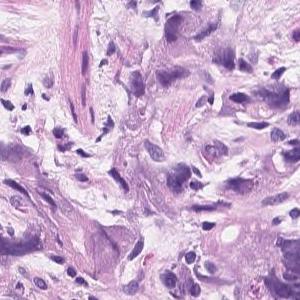
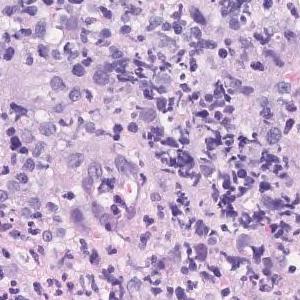
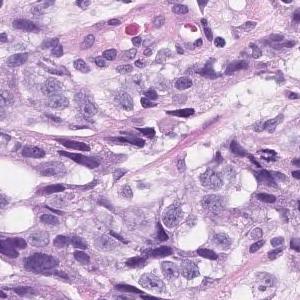
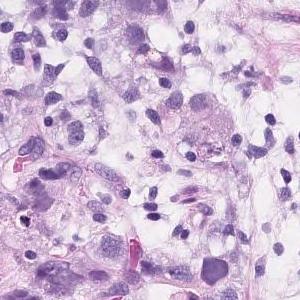
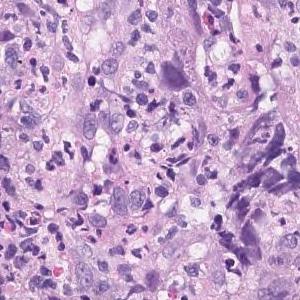
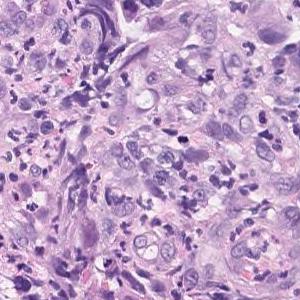
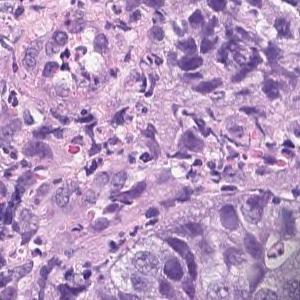
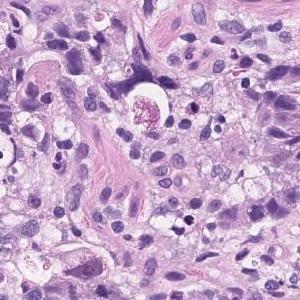
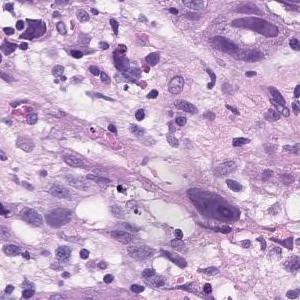
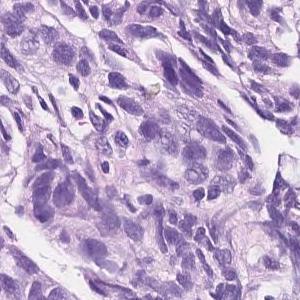
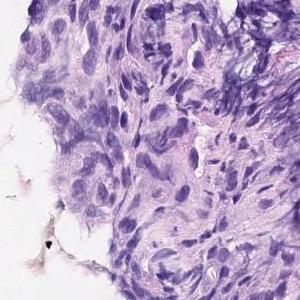
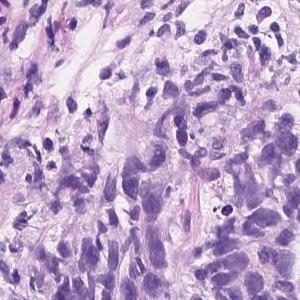
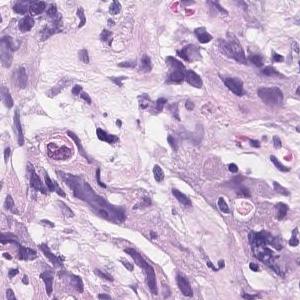
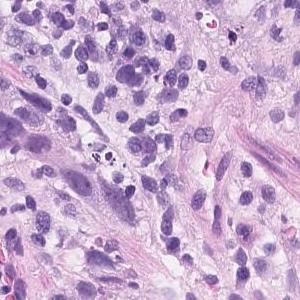
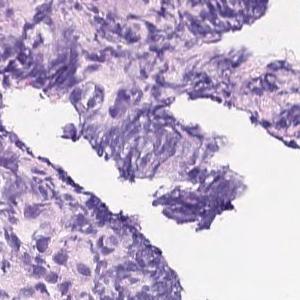
15 image tiles from a single gastric biopsy slide · each 300 × 300 pixels · ×20 · hematoxylin and eosin stain.
The pathologist's report on the biopsy slide these tiles were taken from. The report and the diagnosis cover the entire slide, so not every feature they name need be visible here, and some tissue shown may not be tumor.
Atypical epithelial cells infiltrating and proliferating diffusely or while forming vesicles is observed. Poorly differentiated adenocarcinoma (poorly differentiated adenocarcinoma, solid type moderately differentiated tubular adenocarcinoma)
Dataset label: poorly differentiated adenocarcinoma, solid type (Japanese Classification of Gastric Carcinoma). The WHO 2019 equivalent is tubular adenocarcinoma, poorly differentiated.
